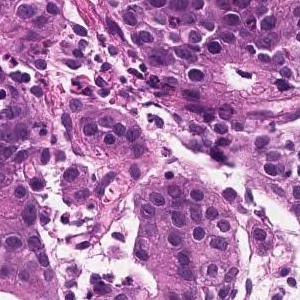
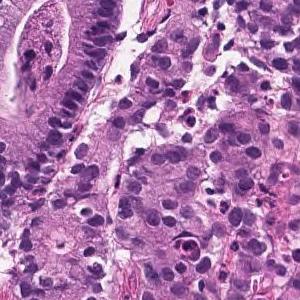
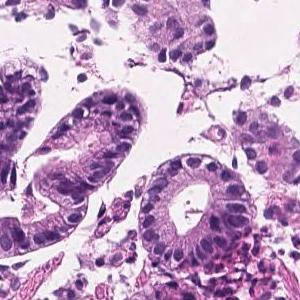
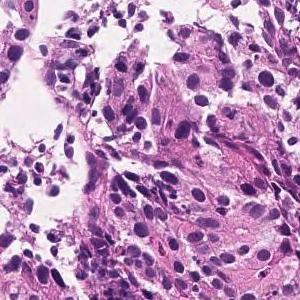
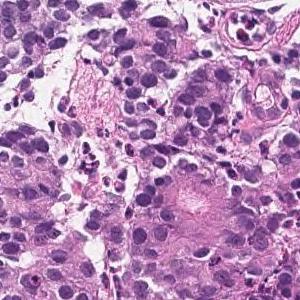
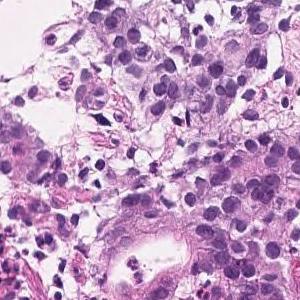
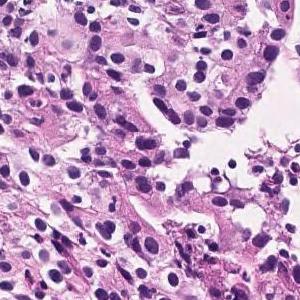
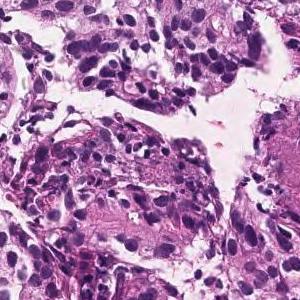
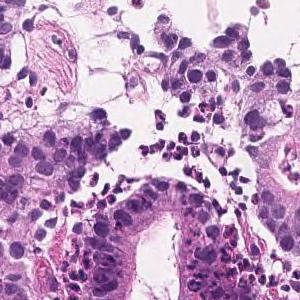
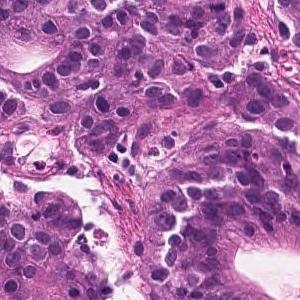
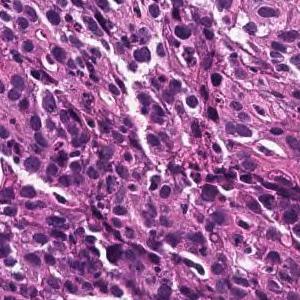
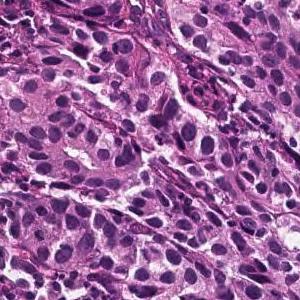
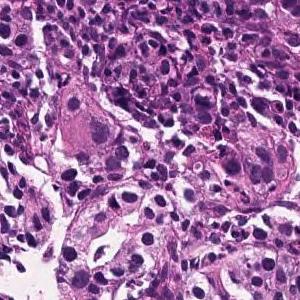
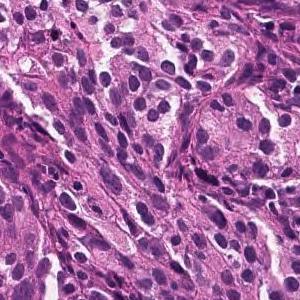
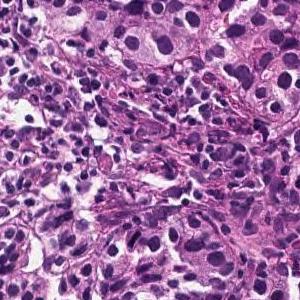
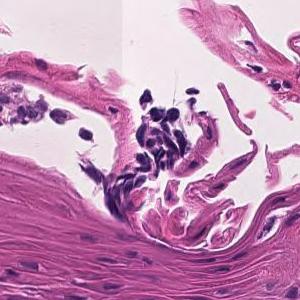
H&E · 16 tiles from the same stomach biopsy slide · 300×300 px each.
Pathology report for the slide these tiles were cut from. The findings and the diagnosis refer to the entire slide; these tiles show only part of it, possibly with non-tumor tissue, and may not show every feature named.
Medium to small, irregular glandular ducts are formed in the superficial epithelium, and in some cases, the glandular ducts are fused to show solid alveolar lesions and infiltrating tumor tissue is observed. Moderately to poorly differentiated adenocarcinoma.
